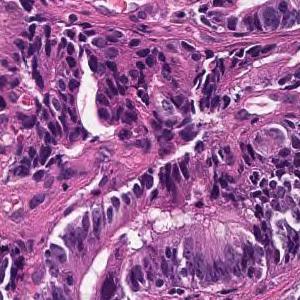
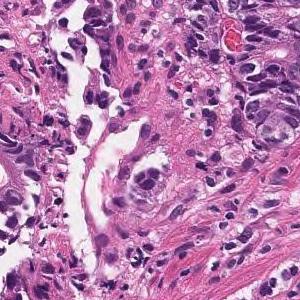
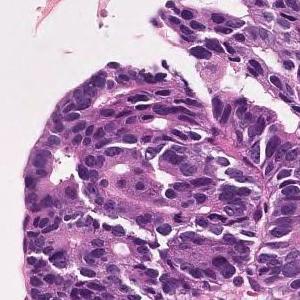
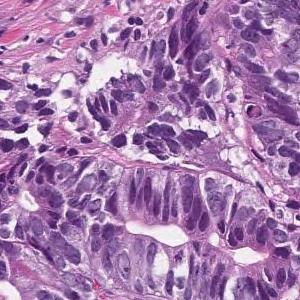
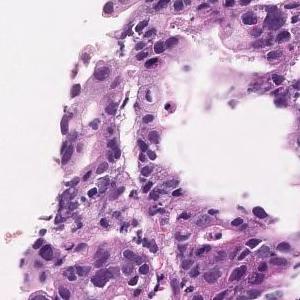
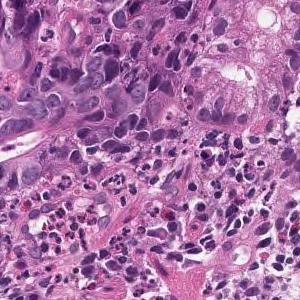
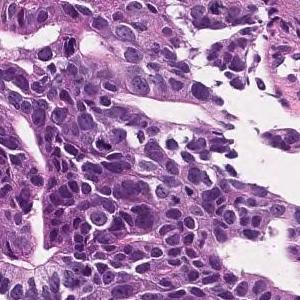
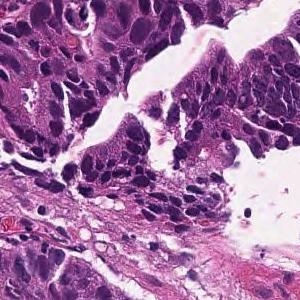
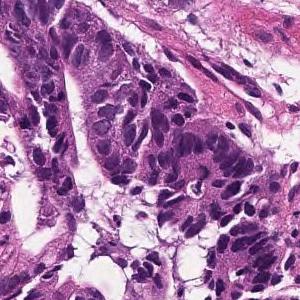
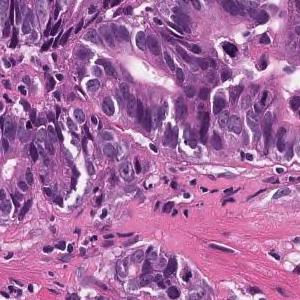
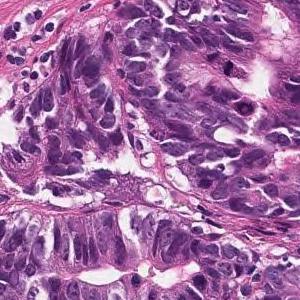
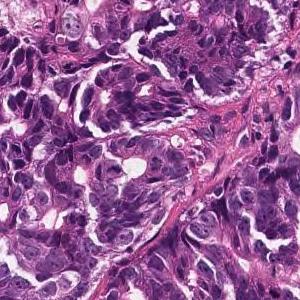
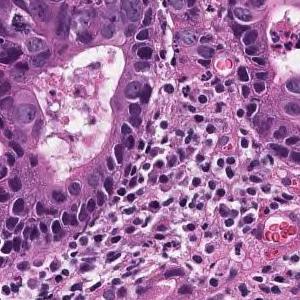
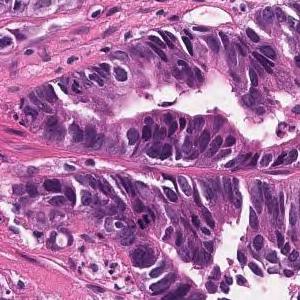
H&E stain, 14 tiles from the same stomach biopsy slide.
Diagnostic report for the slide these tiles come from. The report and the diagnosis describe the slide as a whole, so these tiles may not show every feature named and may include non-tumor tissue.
In the superficial epithelium, tumor tissue that invades by forming medium-sized to small, irregular ducts is observed. moderately differentiated tubular adenocarcinoma.
